14 image tiles from a single gastric biopsy slide · H&E stain.
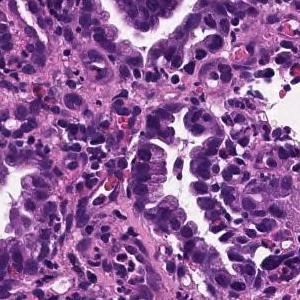
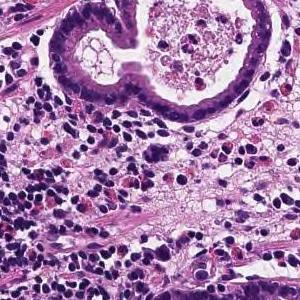
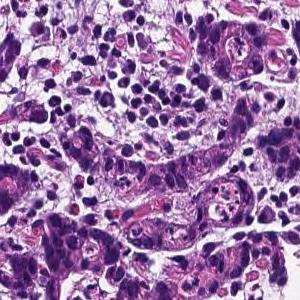
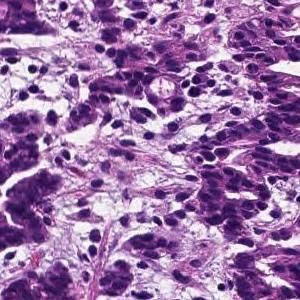
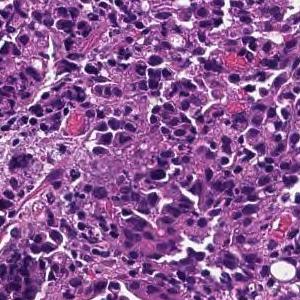
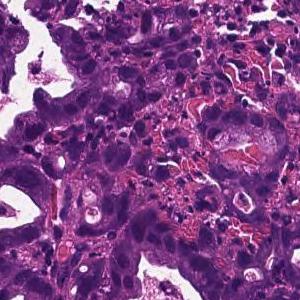
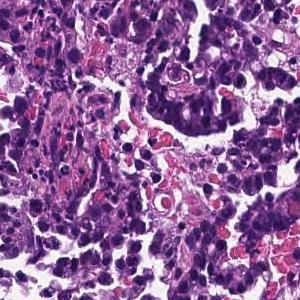
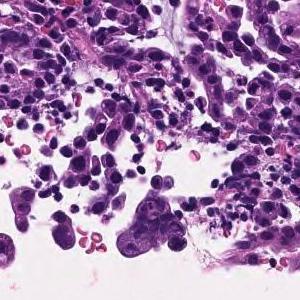
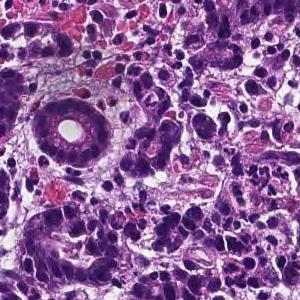
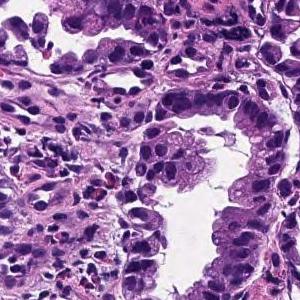
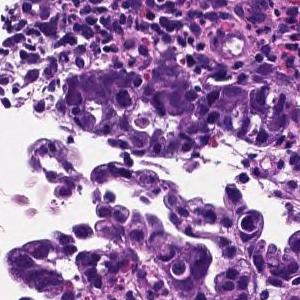
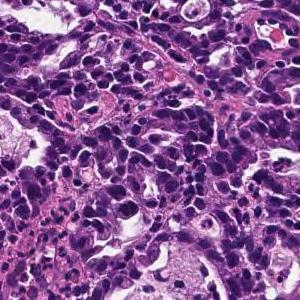
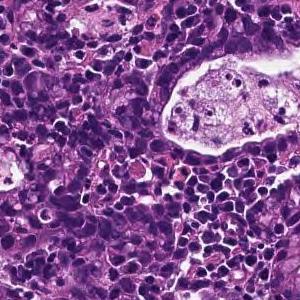
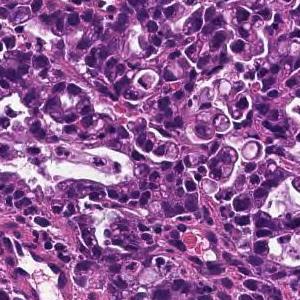
The pathologist's report on the biopsy slide these tiles were taken from. The findings and the diagnosis refer to the entire slide; these tiles show only part of it, possibly with non-tumor tissue, and may not show every feature named.
In the superficial epithelium, tumor tissue that invades by forming medium-sized to small, irregular ducts is observed. moderately differentiated tubular adenocarcinoma.
